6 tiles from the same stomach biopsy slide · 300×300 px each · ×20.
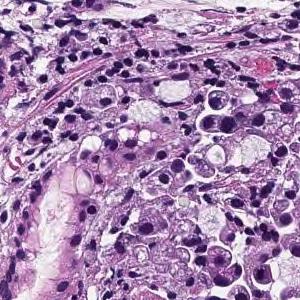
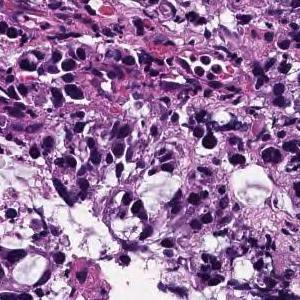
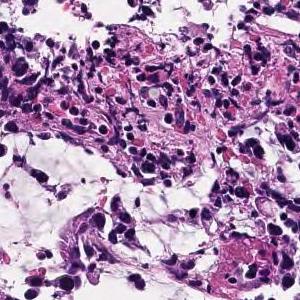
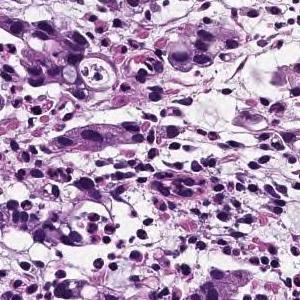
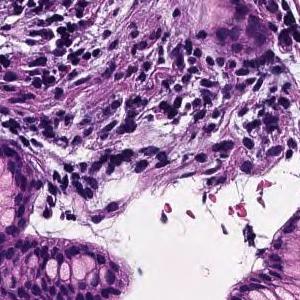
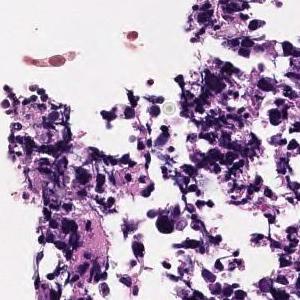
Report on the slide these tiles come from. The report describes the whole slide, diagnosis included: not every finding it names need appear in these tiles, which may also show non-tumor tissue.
Tumor tissue consisting of cord-like or small, irregular glandular ducts fused and infiltrated is observed in the superficial epithelium. Poorly differentiated adenocarcinoma, non-solid type
The term "non-solid type" comes from the Japanese Classification of Gastric Carcinoma.
